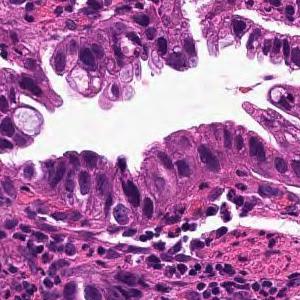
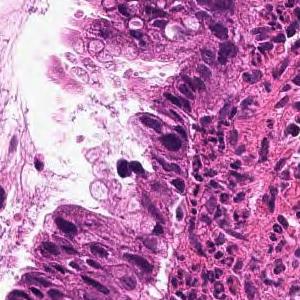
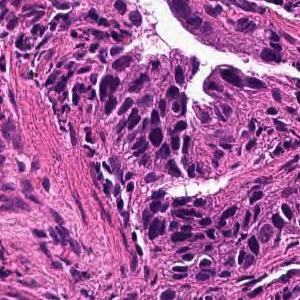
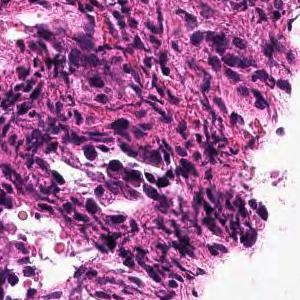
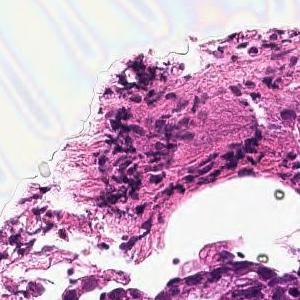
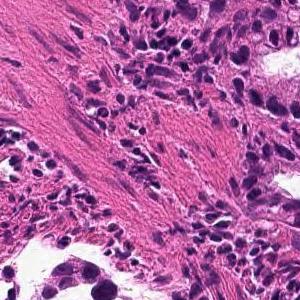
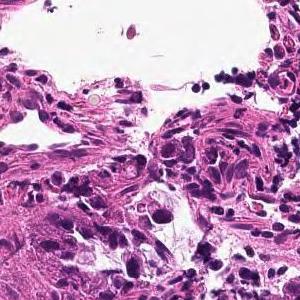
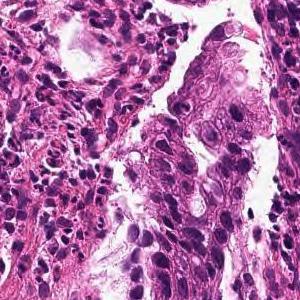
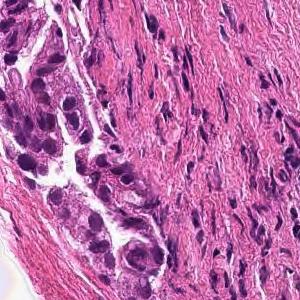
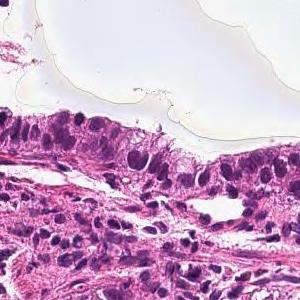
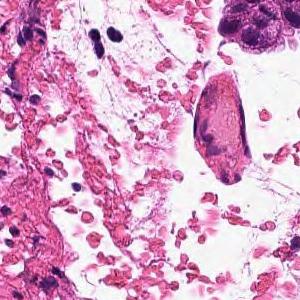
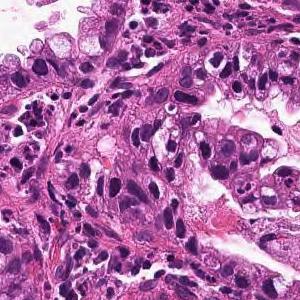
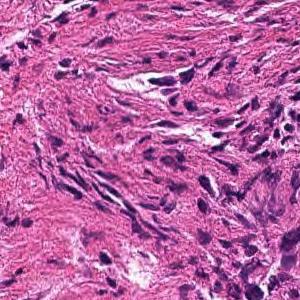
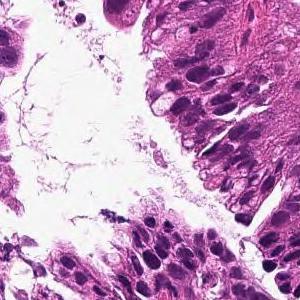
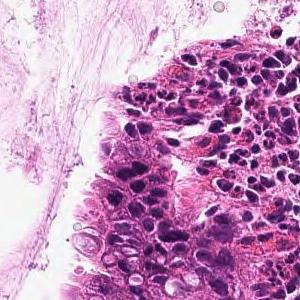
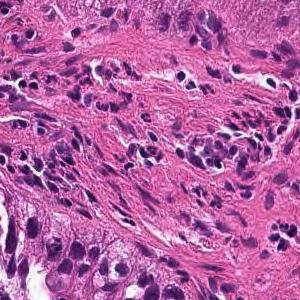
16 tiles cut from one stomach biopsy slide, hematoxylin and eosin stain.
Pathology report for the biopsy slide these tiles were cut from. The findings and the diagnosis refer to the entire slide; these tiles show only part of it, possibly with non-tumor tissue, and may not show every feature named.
From the superficial epithelium to the muscularis mucosae, tumor tissue infiltrating by forming medium-sized irregular gland ducts is observed. Well differentiated tubular adenocarcinoma
